H&E · 8 image tiles from a single gastric biopsy slide.
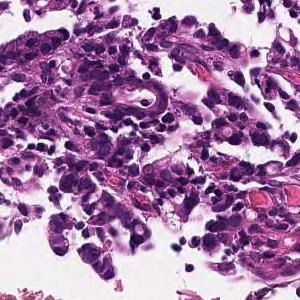
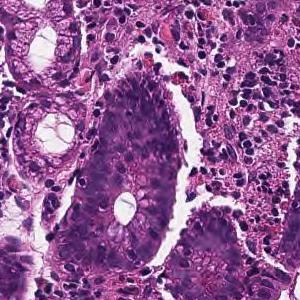
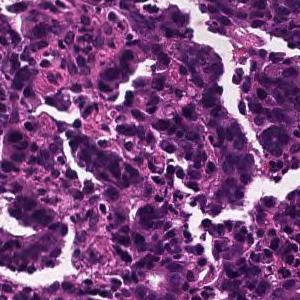
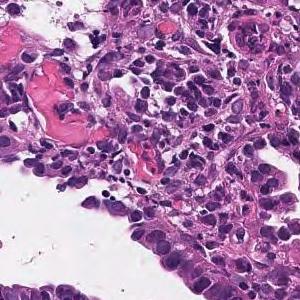
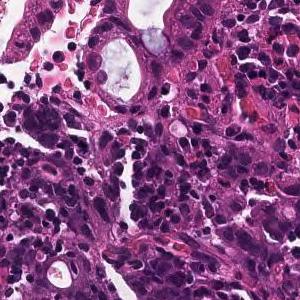
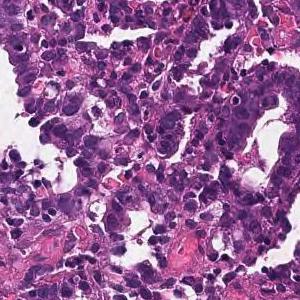
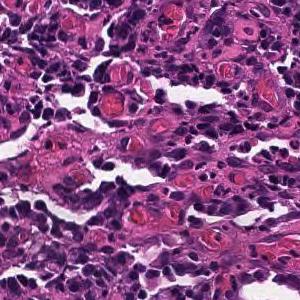
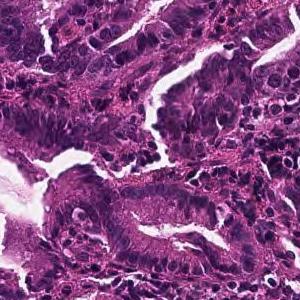
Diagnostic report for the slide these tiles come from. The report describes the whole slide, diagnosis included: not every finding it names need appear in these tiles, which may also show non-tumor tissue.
In the superficial epithelium, tumor tissue that invades by forming medium-sized to small, irregular ducts is observed. moderately differentiated tubular adenocarcinoma.
